11 image tiles from a single gastric biopsy slide · H&E stain.
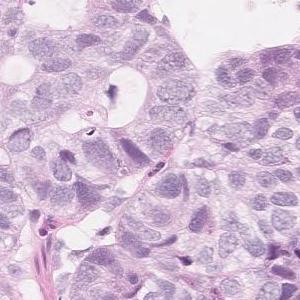
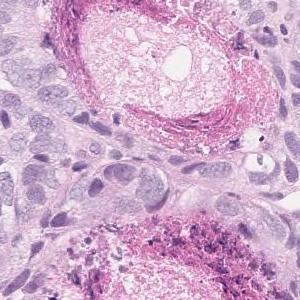
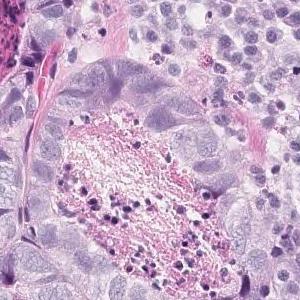
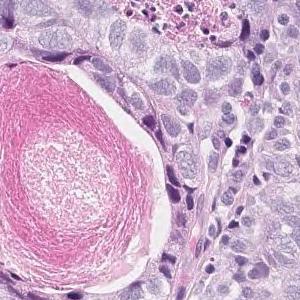
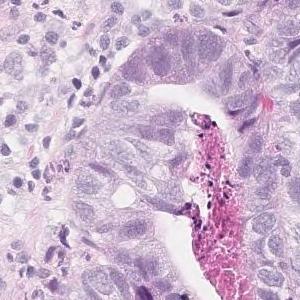
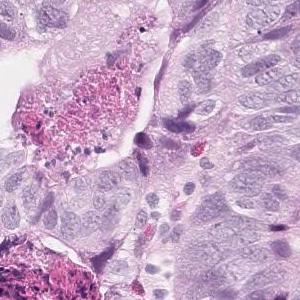
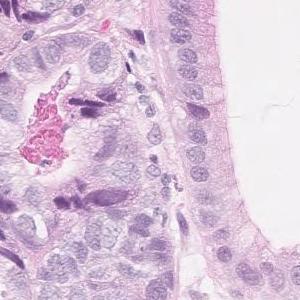
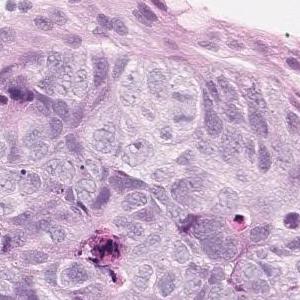
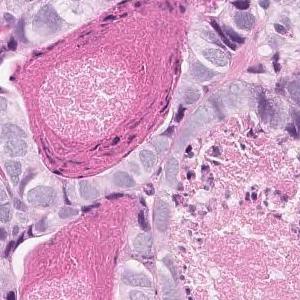
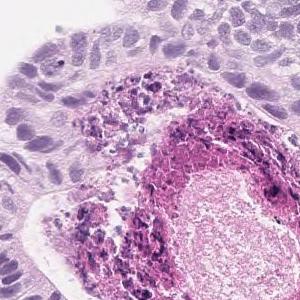
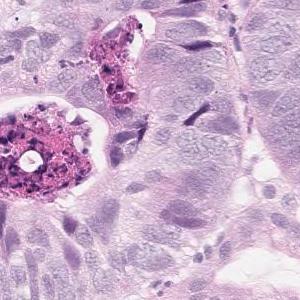
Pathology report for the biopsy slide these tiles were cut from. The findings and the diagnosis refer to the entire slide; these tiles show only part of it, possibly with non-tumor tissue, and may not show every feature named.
In the superficial epithelium, tumor tissue that invades by forming medium-sized to small, irregular ducts is observed. Moderately differentiated adenocarcinoma.
Histologic type: Moderately differentiated tubular adenocarcinoma.
